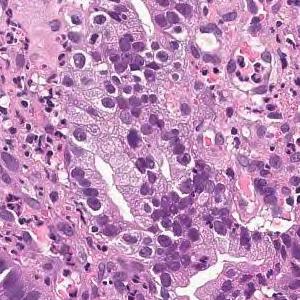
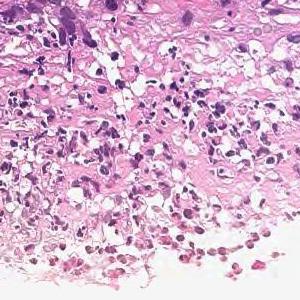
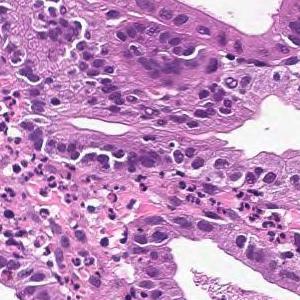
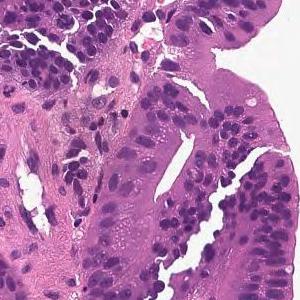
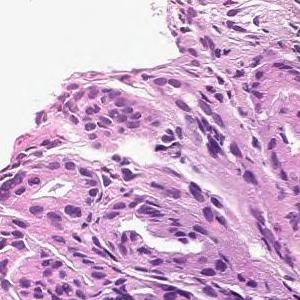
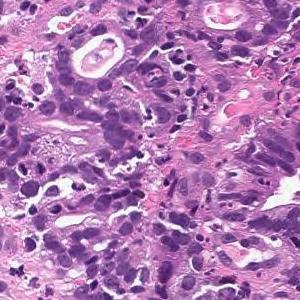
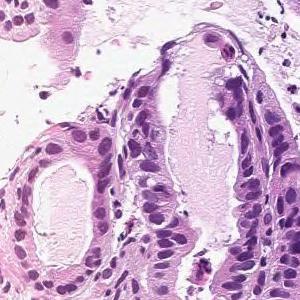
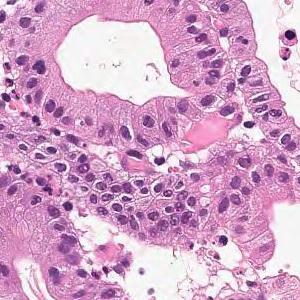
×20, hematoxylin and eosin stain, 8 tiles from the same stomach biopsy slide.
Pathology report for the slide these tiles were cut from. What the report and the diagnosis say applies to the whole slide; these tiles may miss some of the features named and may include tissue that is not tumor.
From the superficial epithelium to the muscularis mucosae, tumor tissue consisting of medium-sized and irregular glandular ducts infiltrating is observed. Well differentiated tubular adenocarcinoma
